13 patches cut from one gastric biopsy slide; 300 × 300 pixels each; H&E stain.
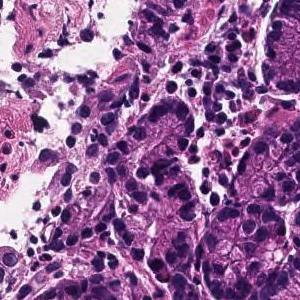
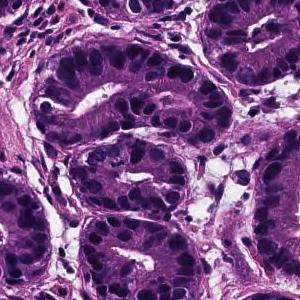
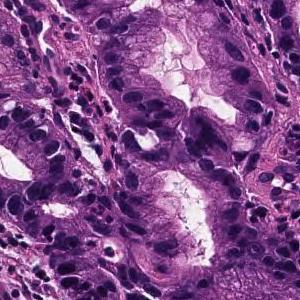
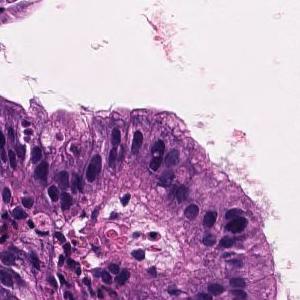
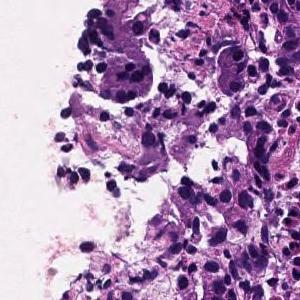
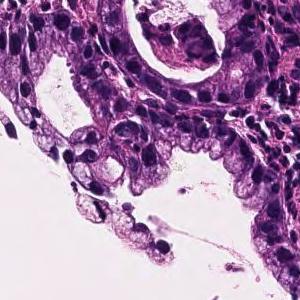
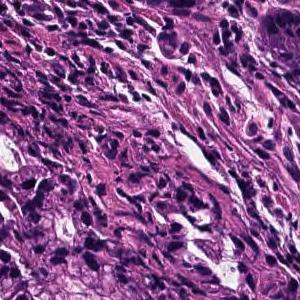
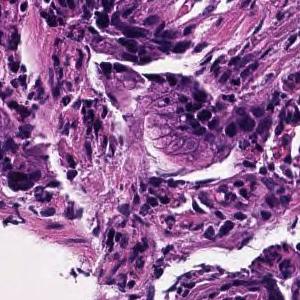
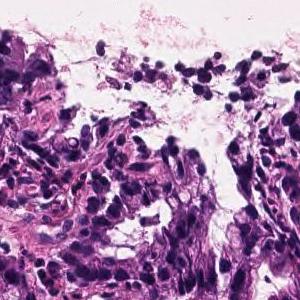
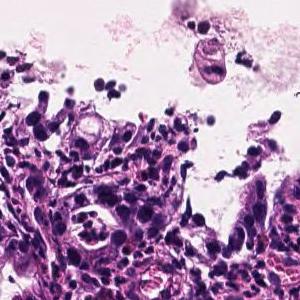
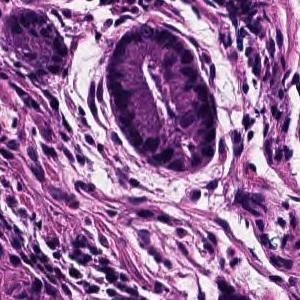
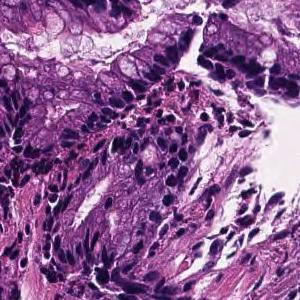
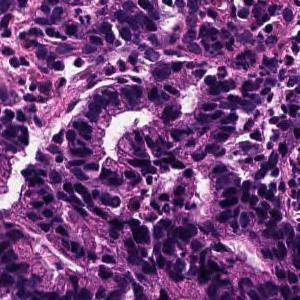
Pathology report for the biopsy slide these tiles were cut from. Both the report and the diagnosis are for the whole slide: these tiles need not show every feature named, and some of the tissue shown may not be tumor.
From the superficial epithelium to the muscularis mucosae, tumor tissue consisting of medium-sized and irregular glandular ducts infiltrating is observed. Well differentiated tubular adenocarcinoma
